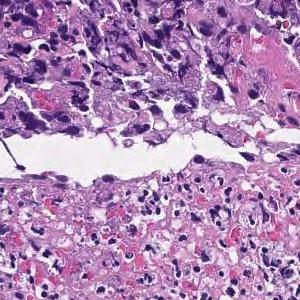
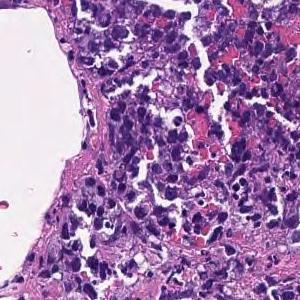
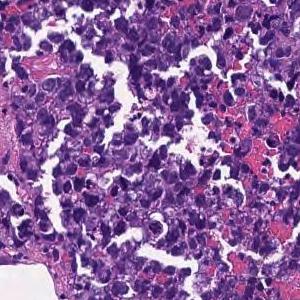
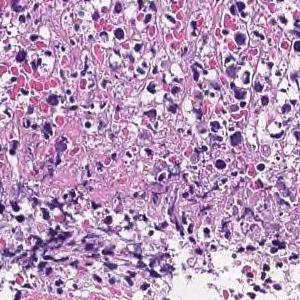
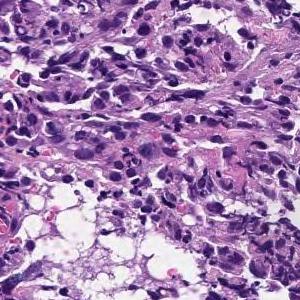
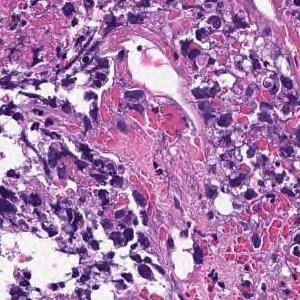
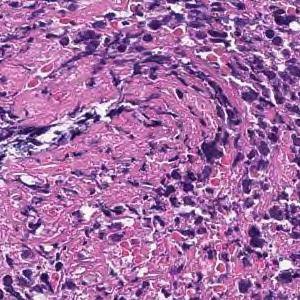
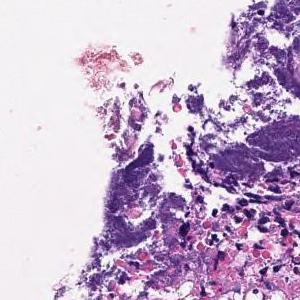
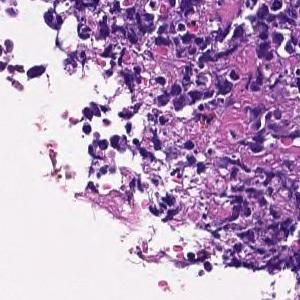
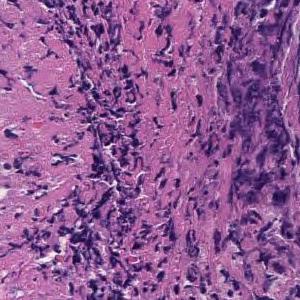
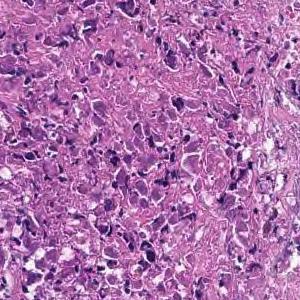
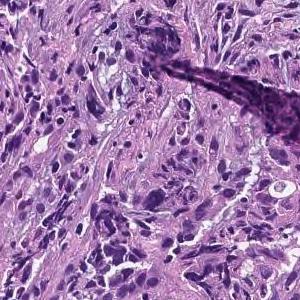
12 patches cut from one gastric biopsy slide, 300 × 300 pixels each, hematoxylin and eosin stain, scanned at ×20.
Pathology report for the slide these tiles were cut from. Both the report and the diagnosis are for the whole slide: these tiles need not show every feature named, and some of the tissue shown may not be tumor.
Most are composed of coagulative necrotic tissue, but some show a large sheet-like shape, and some show tumor tissue infiltrating with a small cord-like structure. Poorly differentiated adenocarcinoma, solid-type
Histologic type: Poorly differentiated adenocarcinoma, solid type, a category of the Japanese Classification of Gastric Carcinoma; in the WHO 2019 classification it is tubular adenocarcinoma, poorly differentiated.
